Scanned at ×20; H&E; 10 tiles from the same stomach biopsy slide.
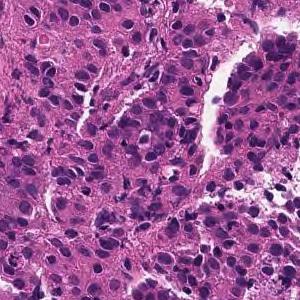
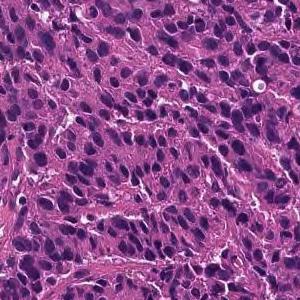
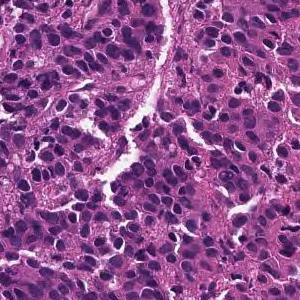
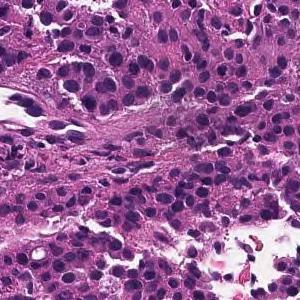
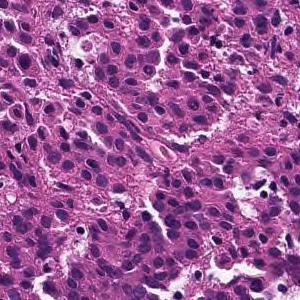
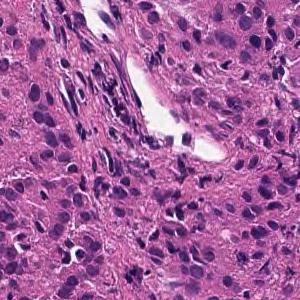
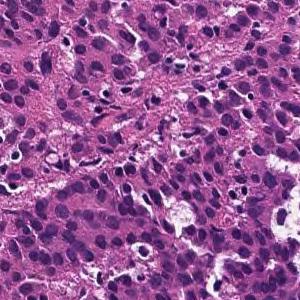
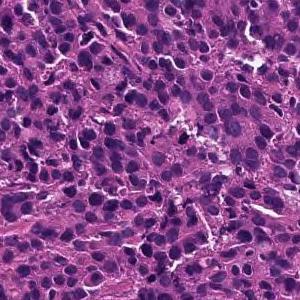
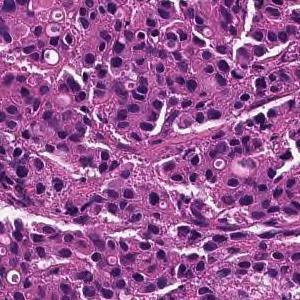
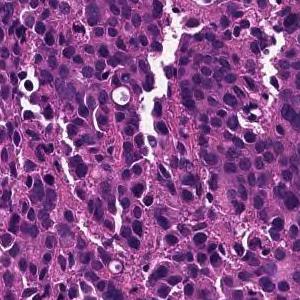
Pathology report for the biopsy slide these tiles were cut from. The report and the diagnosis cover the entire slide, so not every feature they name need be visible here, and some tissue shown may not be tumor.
The superficial epithelium shows a large sheet-like shape, and some tumor tissue infiltrates with small irregular ducts. Poorly differentiated adenocarcinoma, solid-type
Classified as poorly differentiated adenocarcinoma, solid type. This name comes from the Japanese Classification of Gastric Carcinoma; the WHO 2019 classification calls it tubular adenocarcinoma, poorly differentiated.
